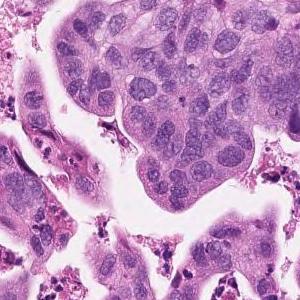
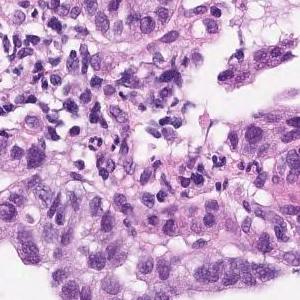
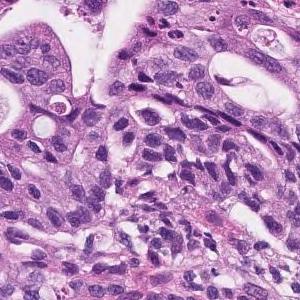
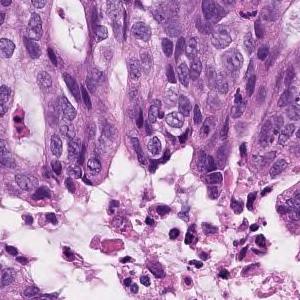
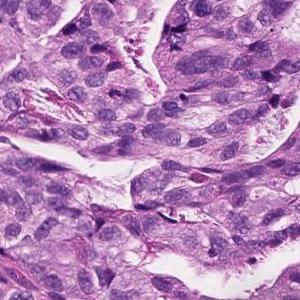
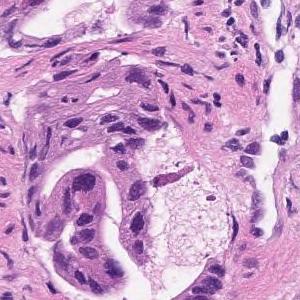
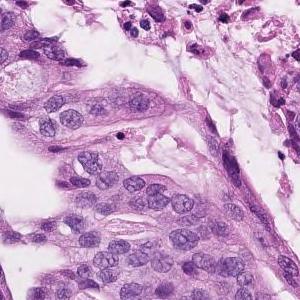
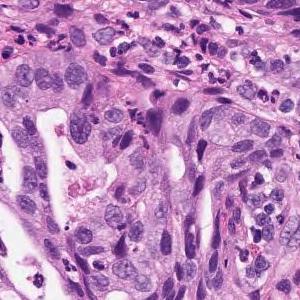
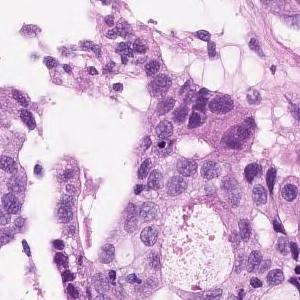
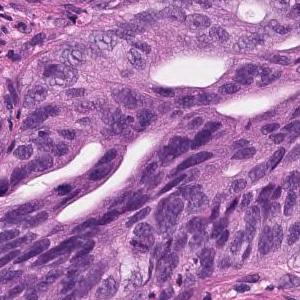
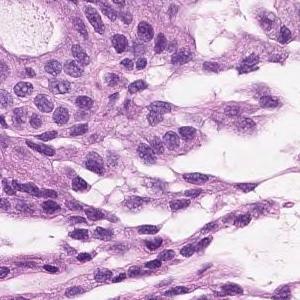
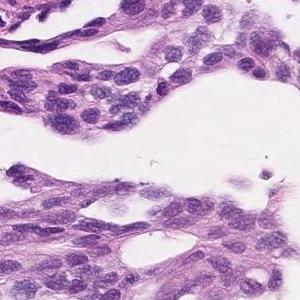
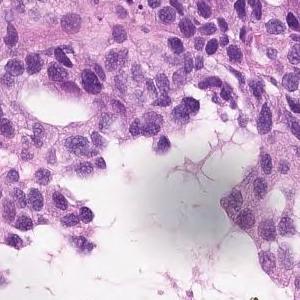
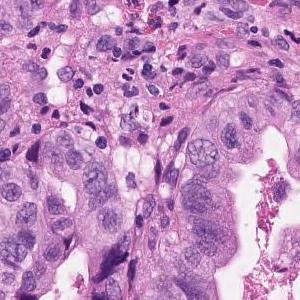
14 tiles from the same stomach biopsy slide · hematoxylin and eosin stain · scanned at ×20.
Report on the slide these tiles come from. The report describes the whole slide, diagnosis included: not every finding it names need appear in these tiles, which may also show non-tumor tissue.
Atypical epithelium forming papillary or sieving ducts and infiltrating growth is observed. Papillary adenocarcinoma.
